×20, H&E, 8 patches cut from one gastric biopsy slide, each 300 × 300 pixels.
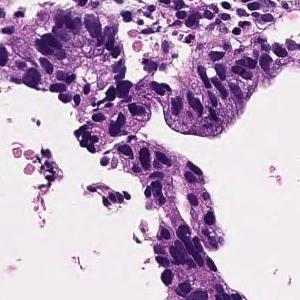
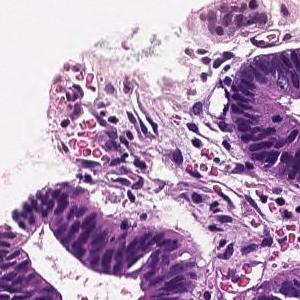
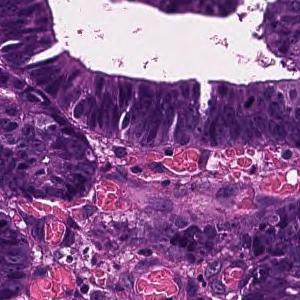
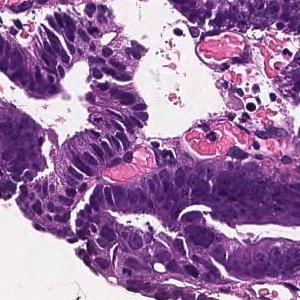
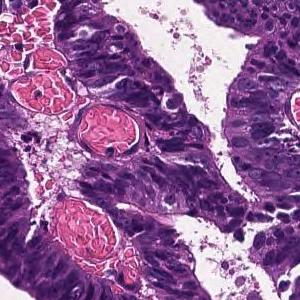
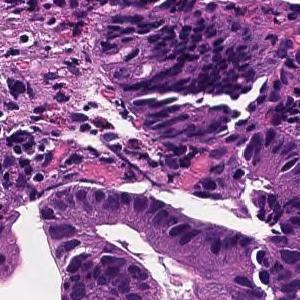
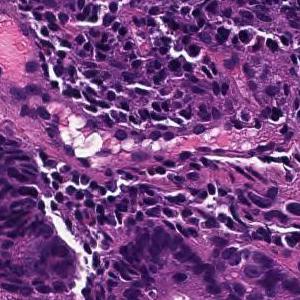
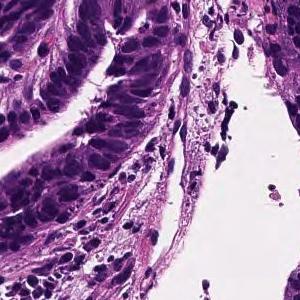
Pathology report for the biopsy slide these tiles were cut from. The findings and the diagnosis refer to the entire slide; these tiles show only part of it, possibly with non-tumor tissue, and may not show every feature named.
Tumor tissue consisting of large papillary structures is found in the superficial epithelium. Papillary adenocarcinoma.
